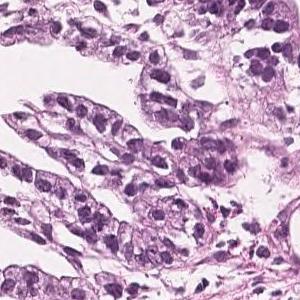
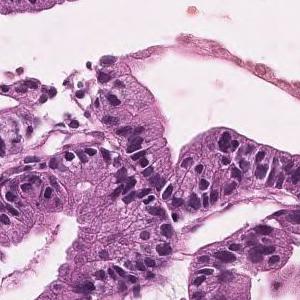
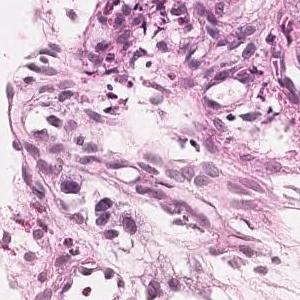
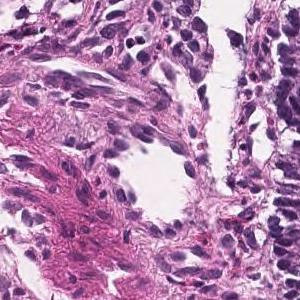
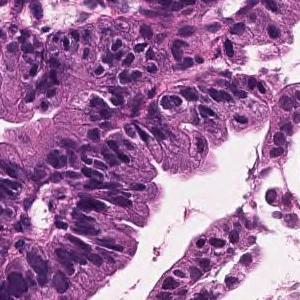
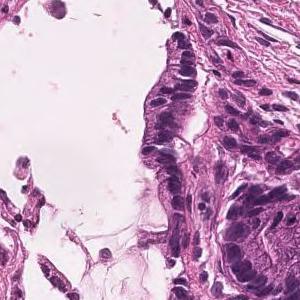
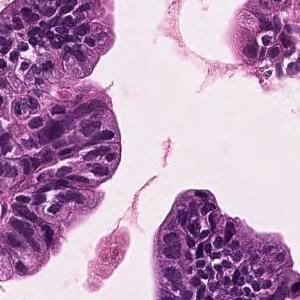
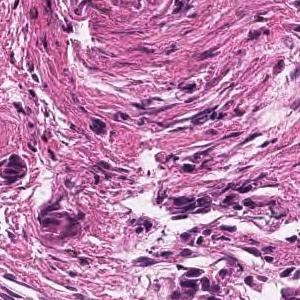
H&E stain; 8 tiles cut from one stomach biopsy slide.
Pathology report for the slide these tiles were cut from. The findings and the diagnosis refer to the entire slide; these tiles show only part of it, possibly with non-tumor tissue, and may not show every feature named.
Tumor cells are large, highly columnar, large club-shaped nuclei, and are associated with chromatin aggregation. Papillary adenocarcinoma.
